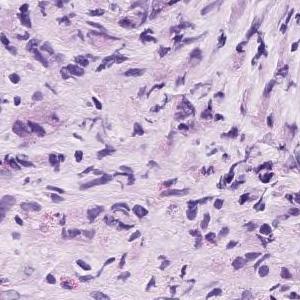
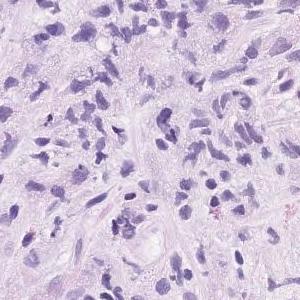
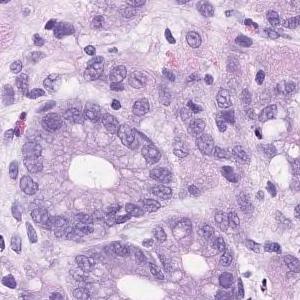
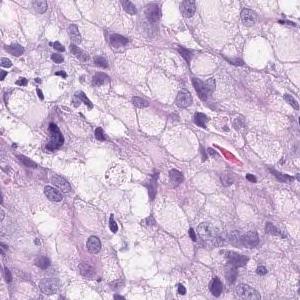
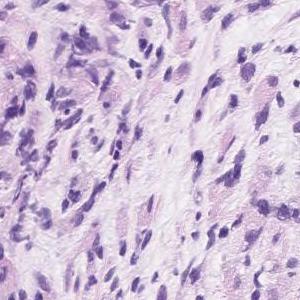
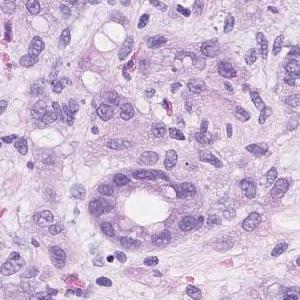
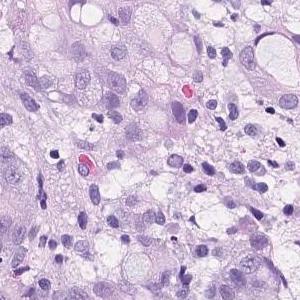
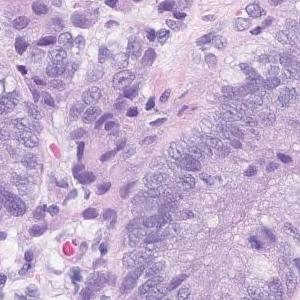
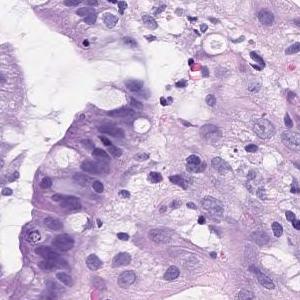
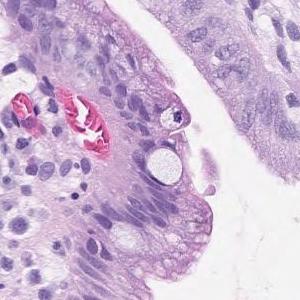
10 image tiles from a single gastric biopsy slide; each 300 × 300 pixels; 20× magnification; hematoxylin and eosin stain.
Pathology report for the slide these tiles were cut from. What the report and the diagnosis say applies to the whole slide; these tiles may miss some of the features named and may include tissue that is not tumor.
Group 5, Adenocarcinoma. Poorly differentiated adenocarcinoma, non-solid type
"Non-solid type" is a category of the Japanese Classification of Gastric Carcinoma.
